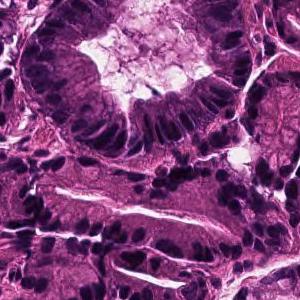
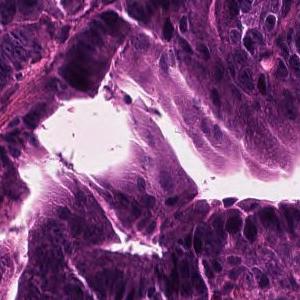
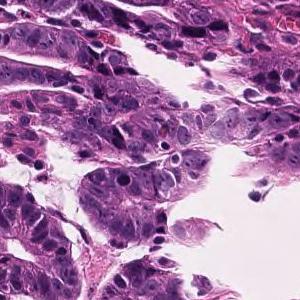
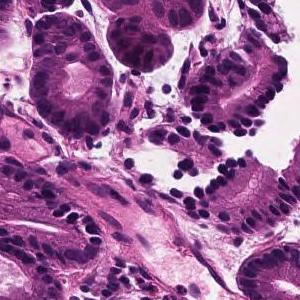
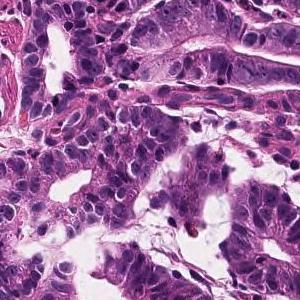
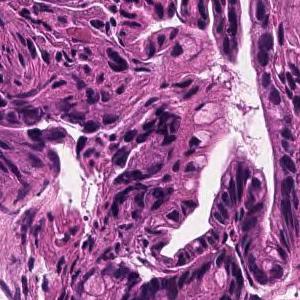
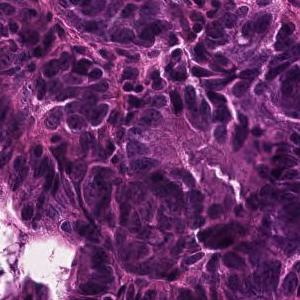
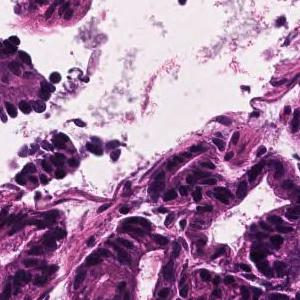
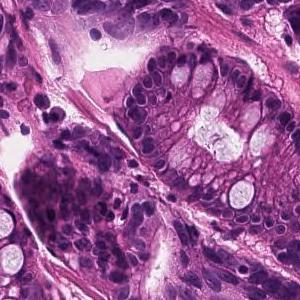
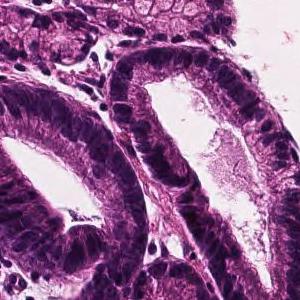
10 patches cut from one gastric biopsy slide, 300×300 px each, ×20, H&E.
Pathology report for the slide these tiles were cut from. The report and the diagnosis cover the entire slide, so not every feature they name need be visible here, and some tissue shown may not be tumor.
In the superficial epithelium, tumor tissue that invades by forming medium-sized to small, irregular ducts is observed. Well differentiated tubular adenocarcinoma.
